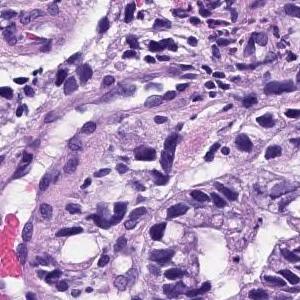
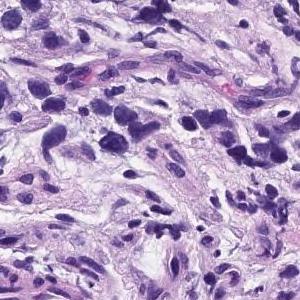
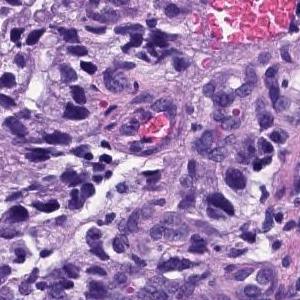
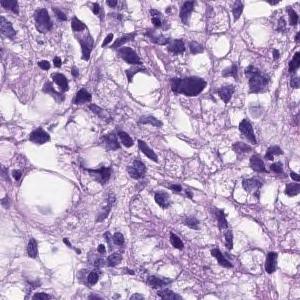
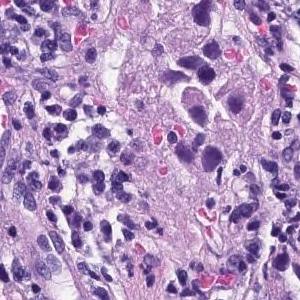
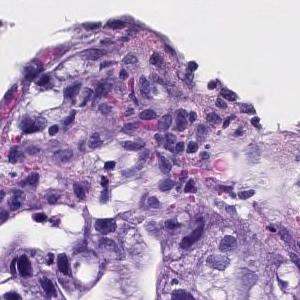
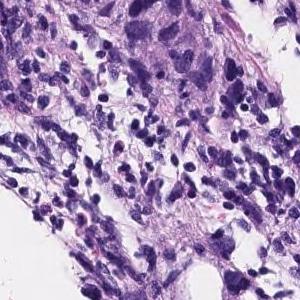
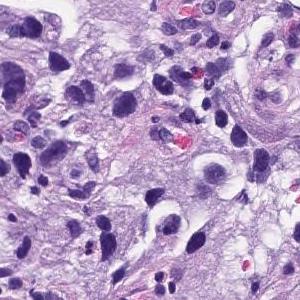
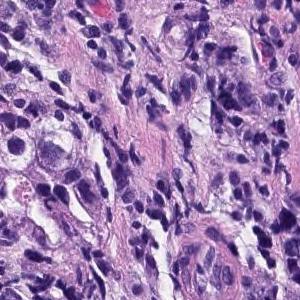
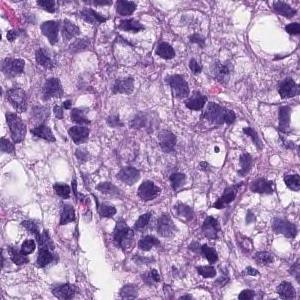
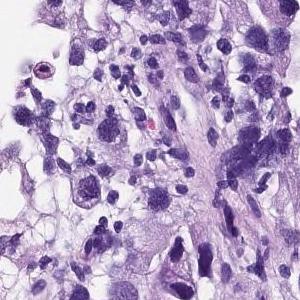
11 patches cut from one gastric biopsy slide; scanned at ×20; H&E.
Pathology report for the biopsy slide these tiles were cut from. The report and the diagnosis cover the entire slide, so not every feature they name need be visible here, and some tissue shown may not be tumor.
Medium to small, irregular glandular ducts are formed in the superficial epithelium, and in some cases, the glandular ducts are fused to show solid alveolar lesions and infiltrating tumor tissue is observed. Poorly differentiated adenocarcinoma, Moderately differentiated adenocarcinoma.
The dataset labels this slide moderately differentiated tubular adenocarcinoma.
